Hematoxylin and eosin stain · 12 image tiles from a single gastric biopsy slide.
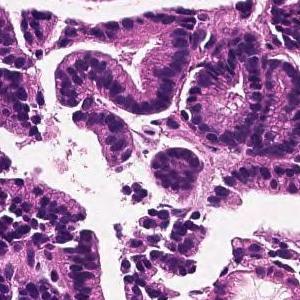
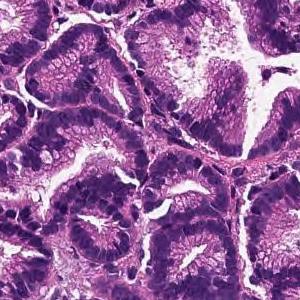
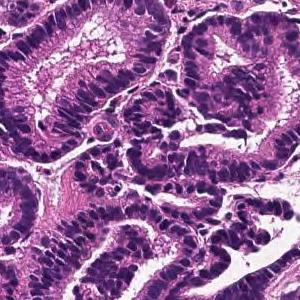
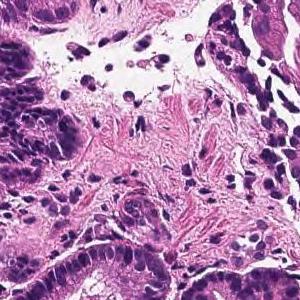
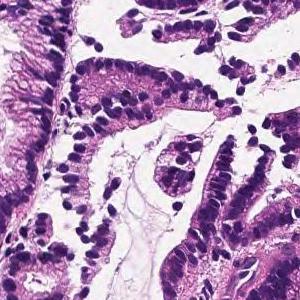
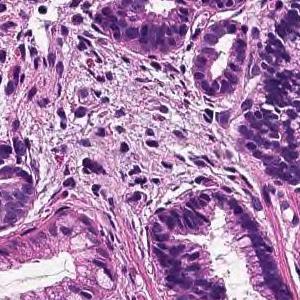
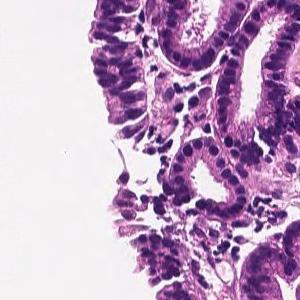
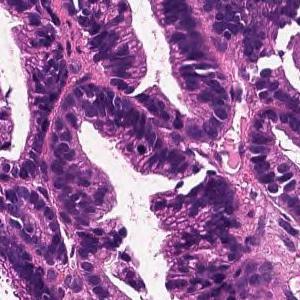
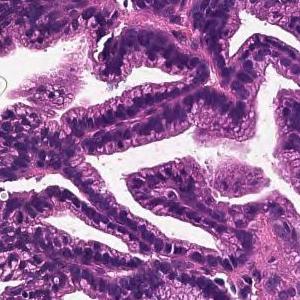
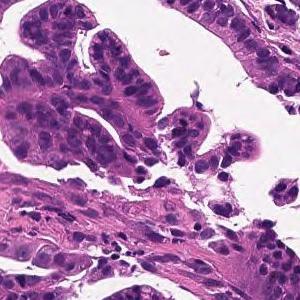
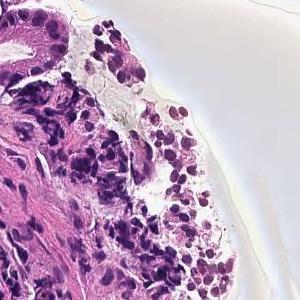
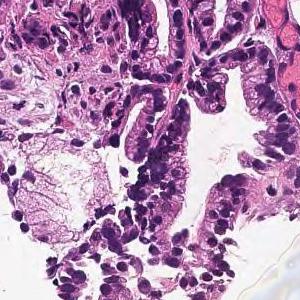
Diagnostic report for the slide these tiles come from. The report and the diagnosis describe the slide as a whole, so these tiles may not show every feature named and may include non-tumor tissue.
On the superficial epithelium, tumor tissue consisting of large irregular glandular ducts partially fused and infiltrated is observed. Well to moderately differentiated tubular adenocarcinoma (well differentiated tubular adenocarcinoma, moderately differentiated tubular adenocarcinoma)
Histological subtype: Well to moderately differentiated tubular adenocarcinoma.
